×20, H&E stain, 8 tiles from the same stomach biopsy slide, 300×300 px each.
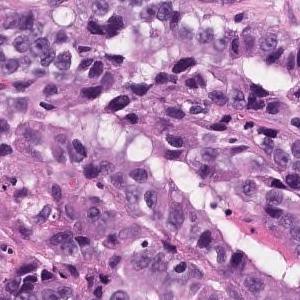
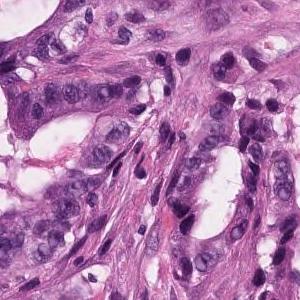
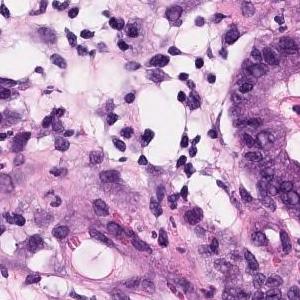
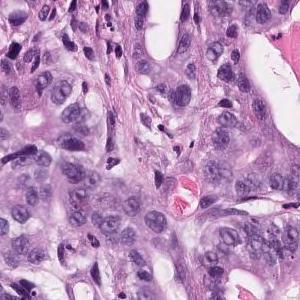
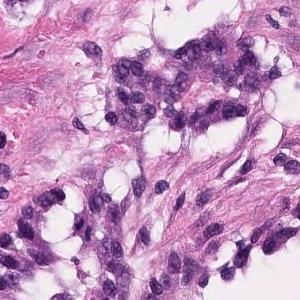
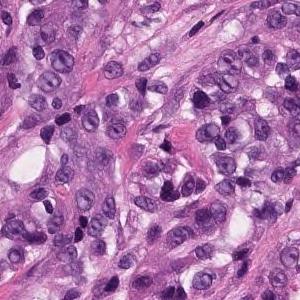
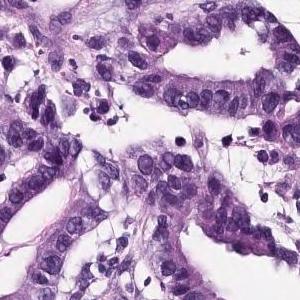
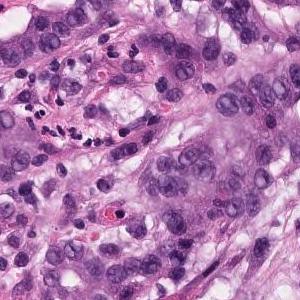
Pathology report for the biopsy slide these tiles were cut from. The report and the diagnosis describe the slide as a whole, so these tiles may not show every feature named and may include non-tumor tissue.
In the superficial epithelium, tumor tissue that invades by forming medium-sized to small, irregular ducts is observed. Moderately differentiated adenocarcinoma.
Tumor subtype: moderately differentiated tubular adenocarcinoma.
